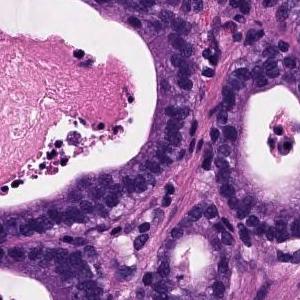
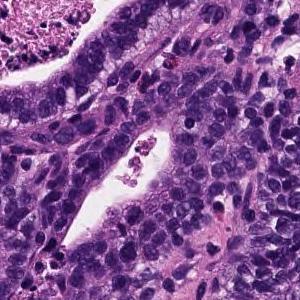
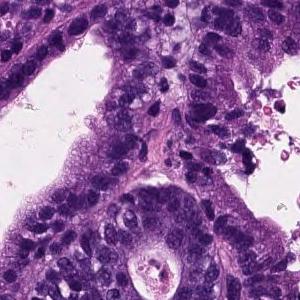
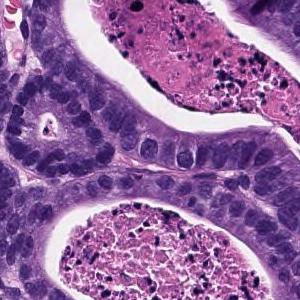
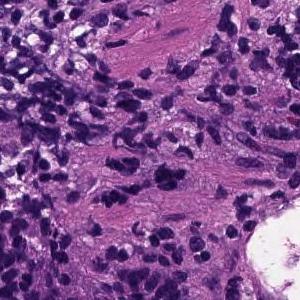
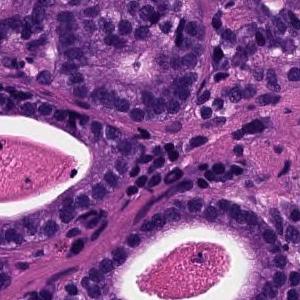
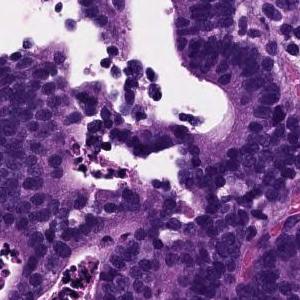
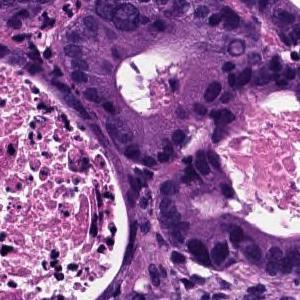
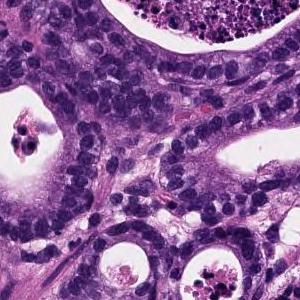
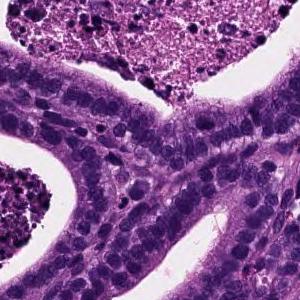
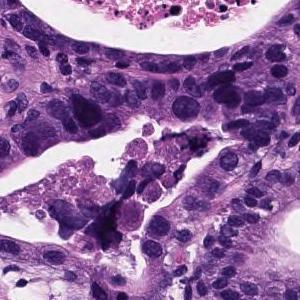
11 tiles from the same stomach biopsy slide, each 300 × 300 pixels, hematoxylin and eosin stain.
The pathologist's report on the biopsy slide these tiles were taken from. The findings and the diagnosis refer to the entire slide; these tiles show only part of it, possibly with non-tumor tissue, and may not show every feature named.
From the superficial epithelium to the muscularis mucosae, tumor tissue consisting of medium-sized and irregular glandular ducts infiltrating is observed. Well differentiated tubular adenocarcinoma
